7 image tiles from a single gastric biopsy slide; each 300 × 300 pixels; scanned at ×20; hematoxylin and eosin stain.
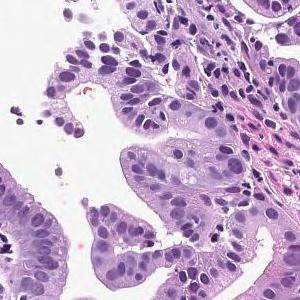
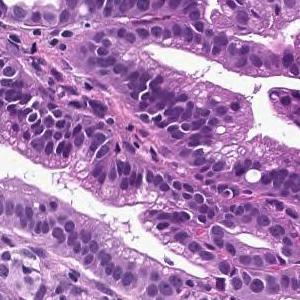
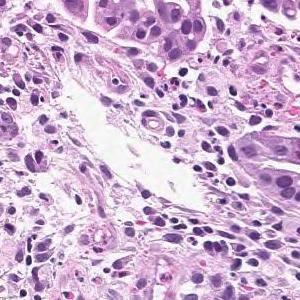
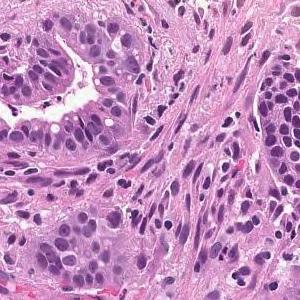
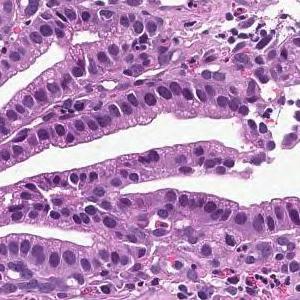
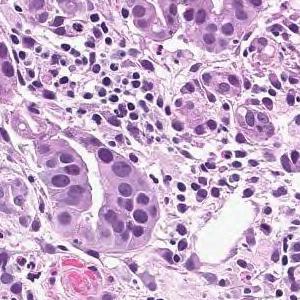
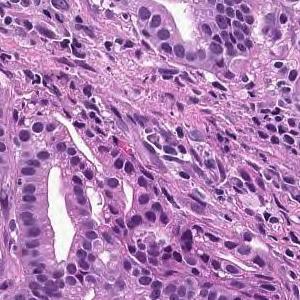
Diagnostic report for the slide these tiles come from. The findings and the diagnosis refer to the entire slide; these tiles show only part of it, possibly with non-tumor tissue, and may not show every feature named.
On the superficial epithelium, tumor tissue that infiltrates by forming medium-sized papillary or small irregular ducts is observed. Papillary adenocarcinoma
